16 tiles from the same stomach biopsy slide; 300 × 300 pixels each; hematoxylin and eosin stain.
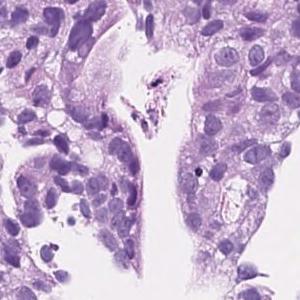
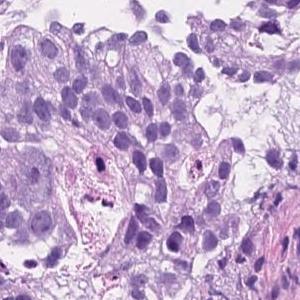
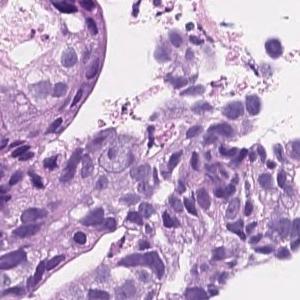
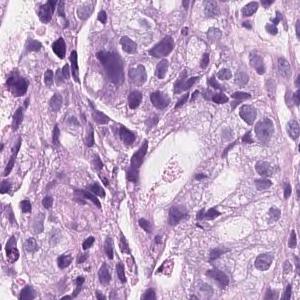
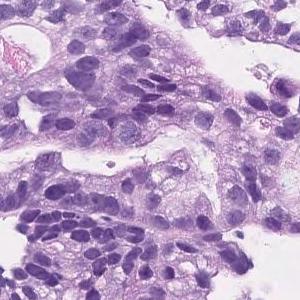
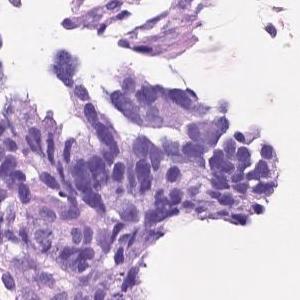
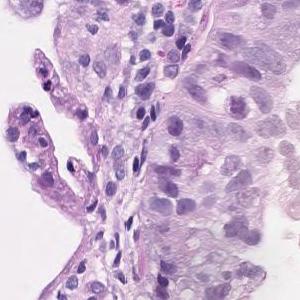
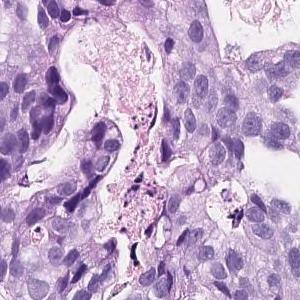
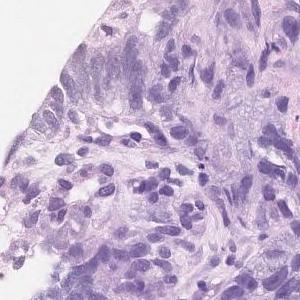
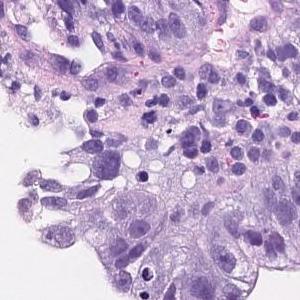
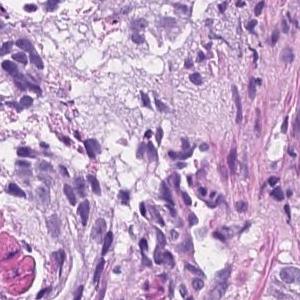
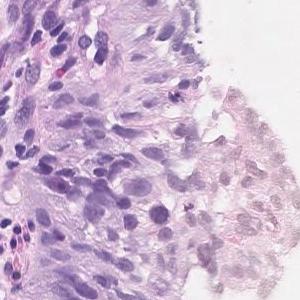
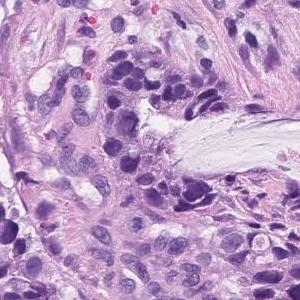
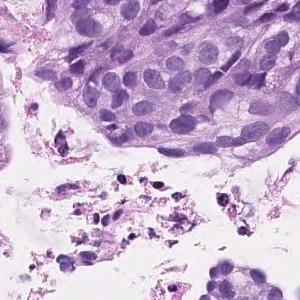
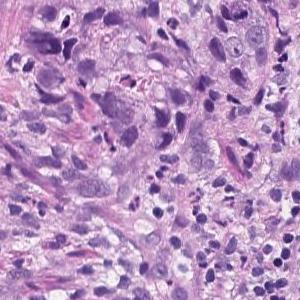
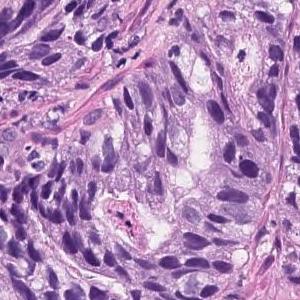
Report on the slide these tiles come from. The report describes the whole slide, diagnosis included: not every finding it names need appear in these tiles, which may also show non-tumor tissue.
On the superficial epithelium, tumor tissue consisting of an image of large, irregular glandular ducts partially fused and infiltrated is observed. Well to moderately differentiated tubular adenocarcinoma
